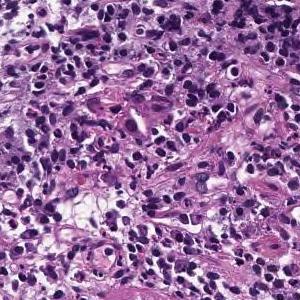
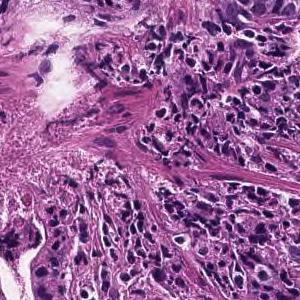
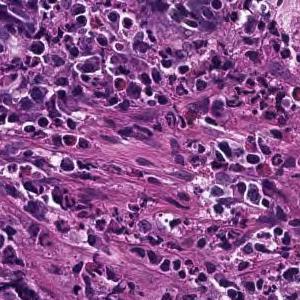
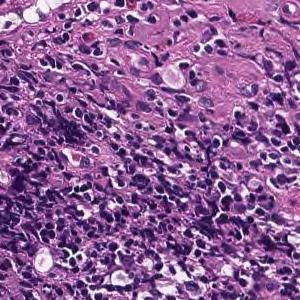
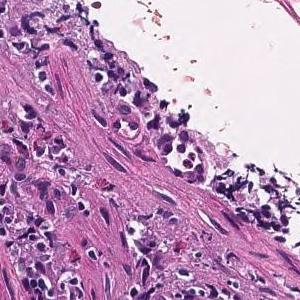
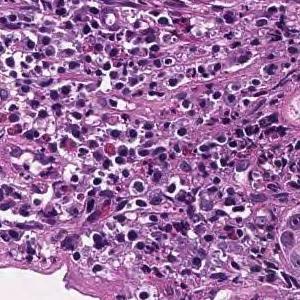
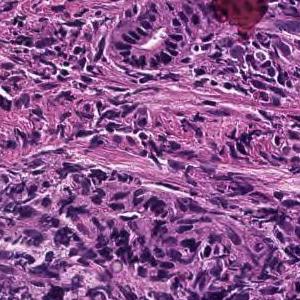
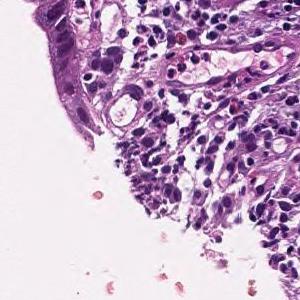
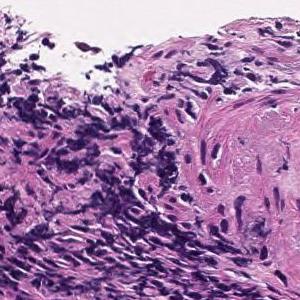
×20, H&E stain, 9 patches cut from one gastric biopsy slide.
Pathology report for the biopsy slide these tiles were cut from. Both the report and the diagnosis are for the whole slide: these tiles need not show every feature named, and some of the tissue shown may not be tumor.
On the superficial epithelium, tumor tissue consisting of large, irregular glandular ducts partially fused and infiltrated is observed. Well to moderately differentiated tubular adenocarcinoma (well differentiated tubular adenocarcinoma, moderately differentiated tubular adenocarcinoma)
Subtype: Well to moderately differentiated tubular adenocarcinoma.
